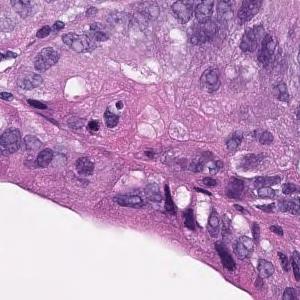
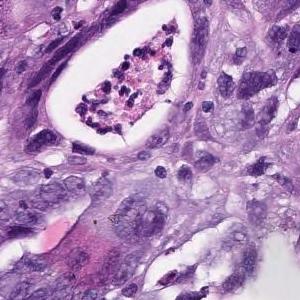
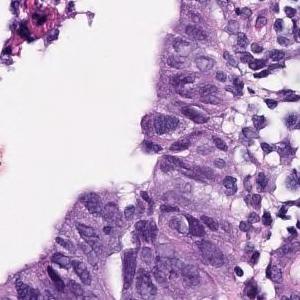
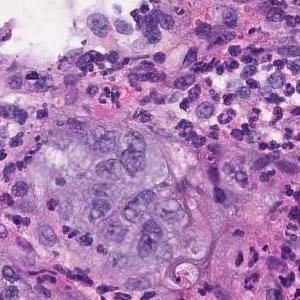
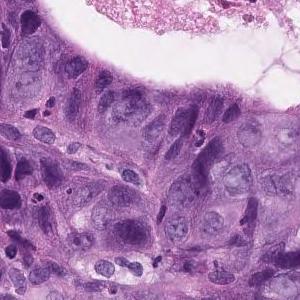
5 image tiles from a single gastric biopsy slide; each 300 × 300 pixels; hematoxylin and eosin stain; scanned at ×20.
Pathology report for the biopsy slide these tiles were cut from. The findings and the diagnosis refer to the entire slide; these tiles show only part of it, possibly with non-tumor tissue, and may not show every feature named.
In the superficial epithelium, tumor tissue that invades by forming medium-sized to small, irregular ducts is observed. Moderately differentiated adenocarcinoma.
Classified as moderately differentiated tubular adenocarcinoma.
